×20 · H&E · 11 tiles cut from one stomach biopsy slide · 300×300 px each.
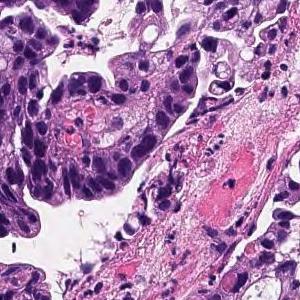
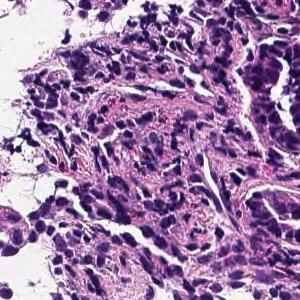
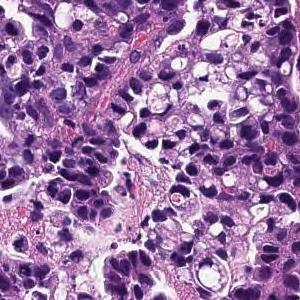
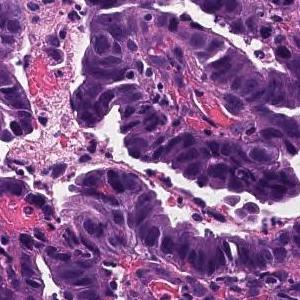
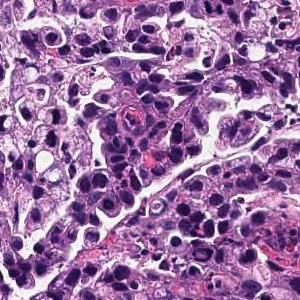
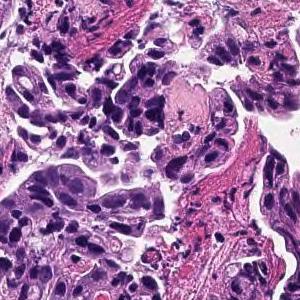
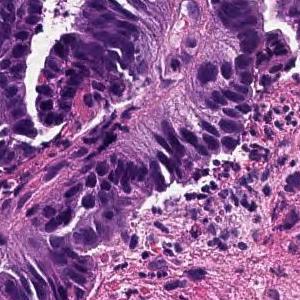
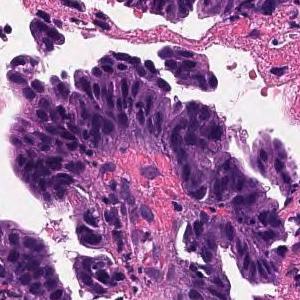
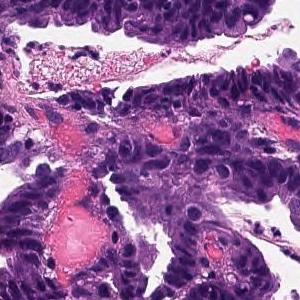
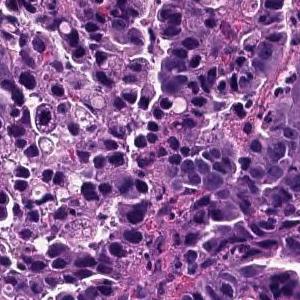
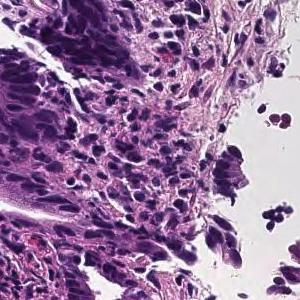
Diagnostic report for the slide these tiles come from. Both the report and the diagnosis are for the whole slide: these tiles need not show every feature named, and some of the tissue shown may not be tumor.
Infiltrating tumor tissue is observed in the superficial epithelium, showing large papillary structures or large and small ducts. Papillary adenocarcinoma
